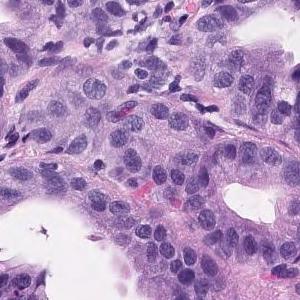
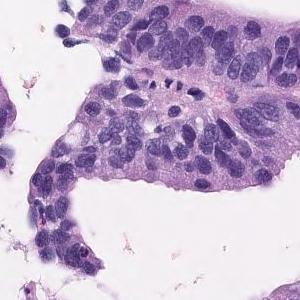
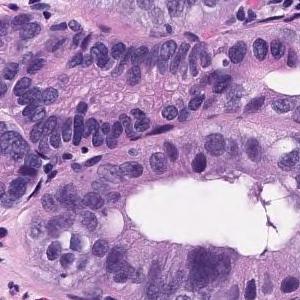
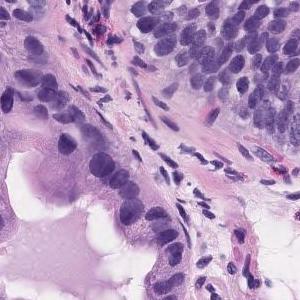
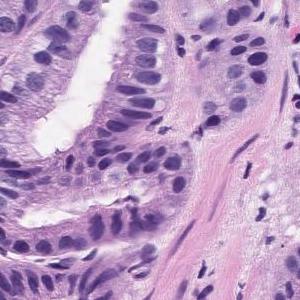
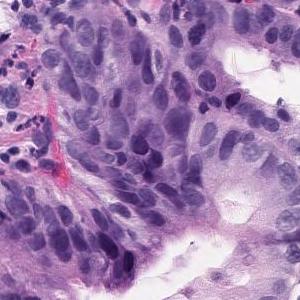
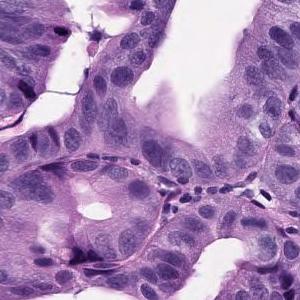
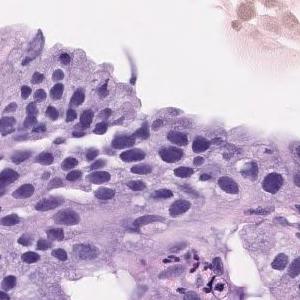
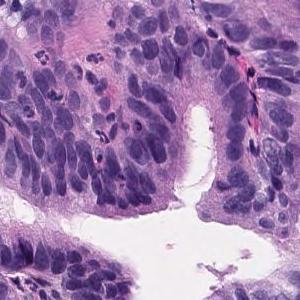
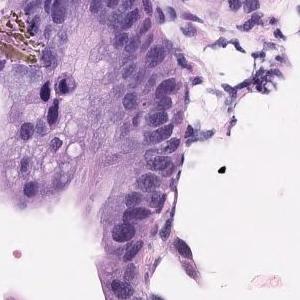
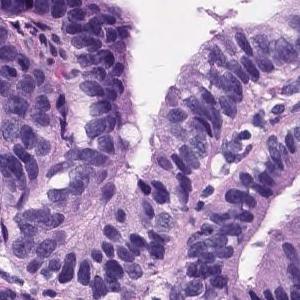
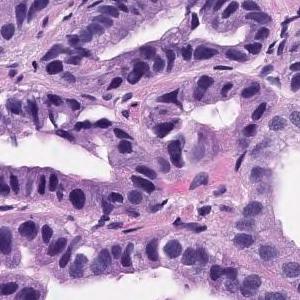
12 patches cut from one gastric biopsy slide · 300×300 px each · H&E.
Pathology report for the slide these tiles were cut from. The findings and the diagnosis refer to the entire slide; these tiles show only part of it, possibly with non-tumor tissue, and may not show every feature named.
Tumor tissue consisting of medium-sized and irregular ducts is observed infiltrating in the superficial epithelium. Tumor cells are highly columnar, with nuclei aligned basolaterally and polarized. Well differentiated tubular adenocarcinoma.
